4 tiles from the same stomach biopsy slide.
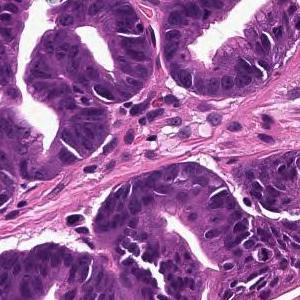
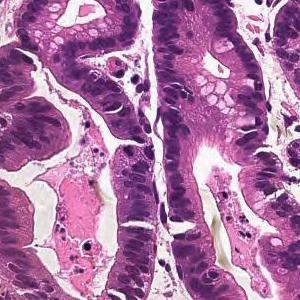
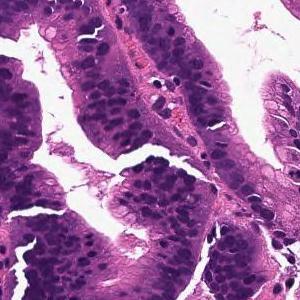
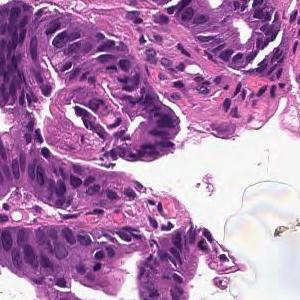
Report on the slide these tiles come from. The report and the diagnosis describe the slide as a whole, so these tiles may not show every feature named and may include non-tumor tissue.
From the superficial epithelium to the muscularis mucosae, tumor tissue consisting of medium-sized and irregular glandular ducts infiltrating is observed. Well differentiated tubular adenocarcinoma
